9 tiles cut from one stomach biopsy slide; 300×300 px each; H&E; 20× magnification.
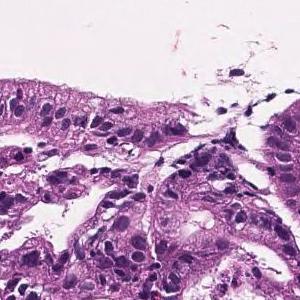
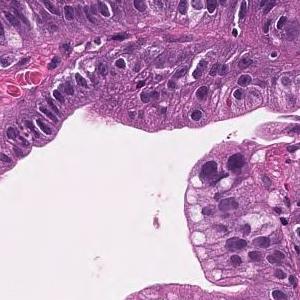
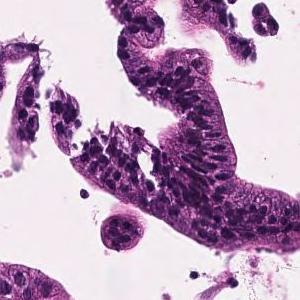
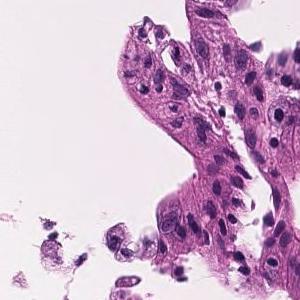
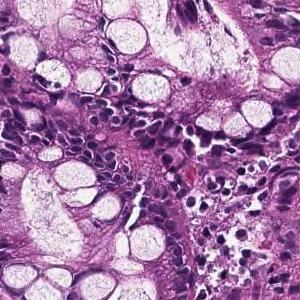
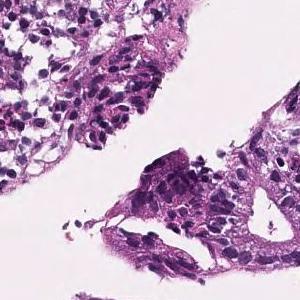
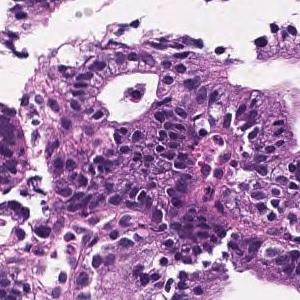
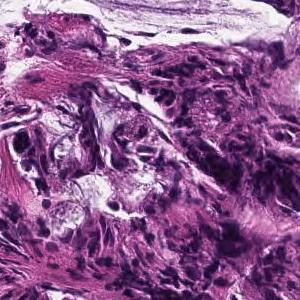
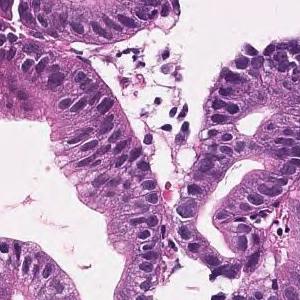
Diagnostic report for the slide these tiles come from. The report and the diagnosis cover the entire slide, so not every feature they name need be visible here, and some tissue shown may not be tumor.
In the superficial epithelium, tumor tissue that invades by forming medium-sized to small, irregular ducts is observed. Well differentiated tubular adenocarcinoma.
